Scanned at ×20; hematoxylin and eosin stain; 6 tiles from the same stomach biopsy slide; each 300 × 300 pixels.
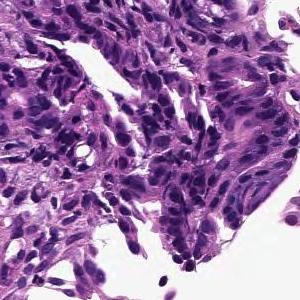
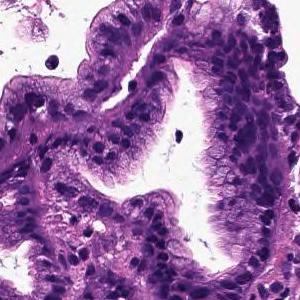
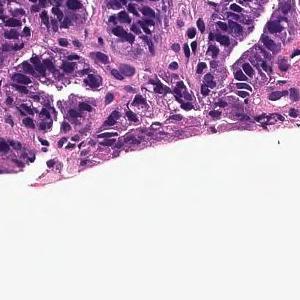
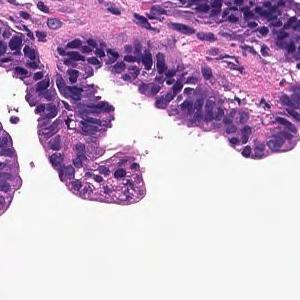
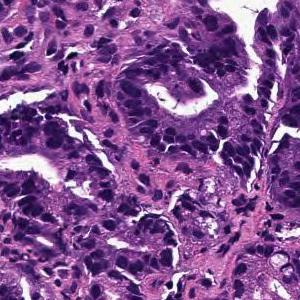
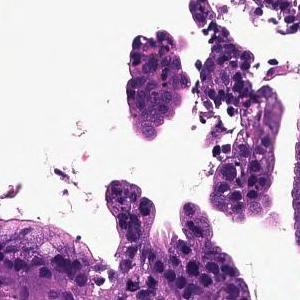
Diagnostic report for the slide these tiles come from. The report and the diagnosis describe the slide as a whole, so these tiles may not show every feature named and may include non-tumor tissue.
From the superficial epithelium to the muscularis mucosae, tumor tissue consisting of medium-sized and irregular glandular ducts infiltrating is observed. Well differentiated tubular adenocarcinoma
